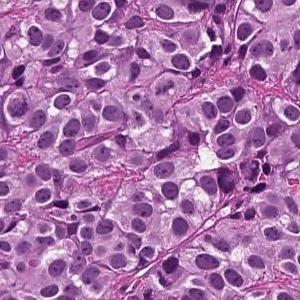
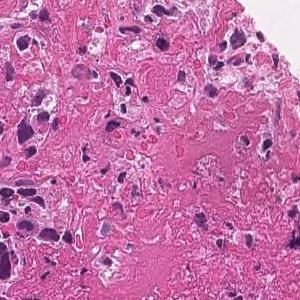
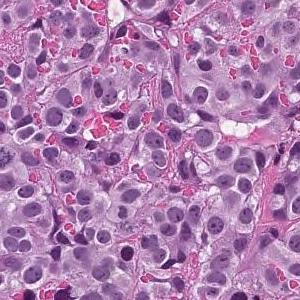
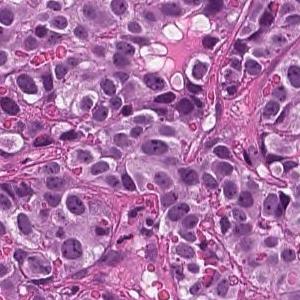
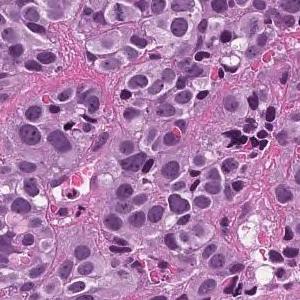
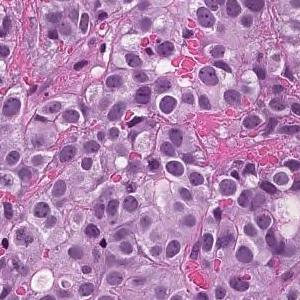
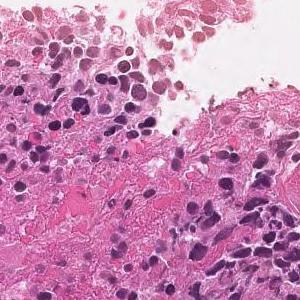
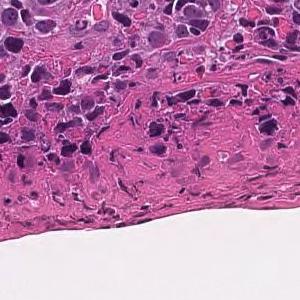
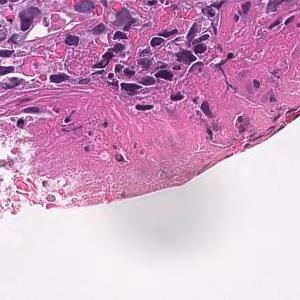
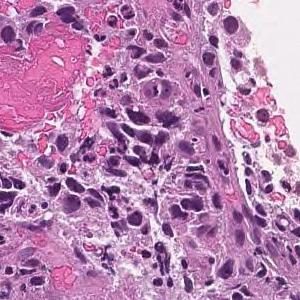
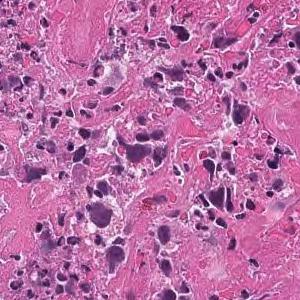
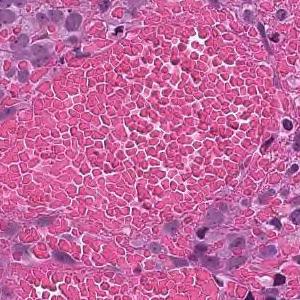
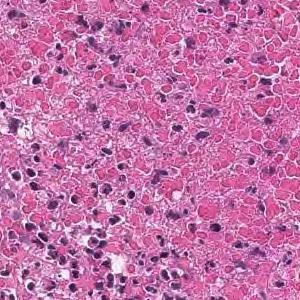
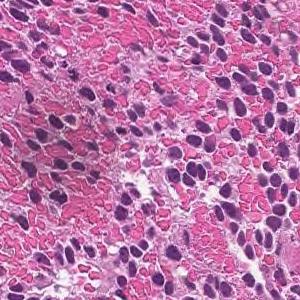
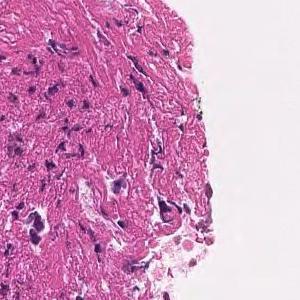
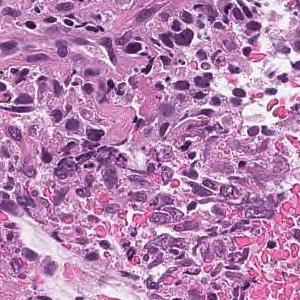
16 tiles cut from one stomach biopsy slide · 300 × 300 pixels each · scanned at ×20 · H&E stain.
Pathology report for the slide these tiles were cut from. The report and the diagnosis cover the entire slide, so not every feature they name need be visible here, and some tissue shown may not be tumor.
The superficial epithelium shows a large sheet-like shape, and some tumor tissue infiltrates with small irregular ducts. Poorly differentiated adenocarcinoma, solid-type
Subtype: Poorly differentiated adenocarcinoma, solid type, a category of the Japanese Classification of Gastric Carcinoma; in the WHO 2019 classification it is tubular adenocarcinoma, poorly differentiated.
